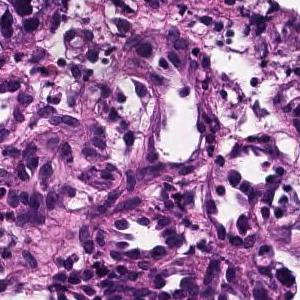
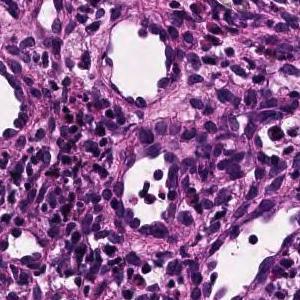
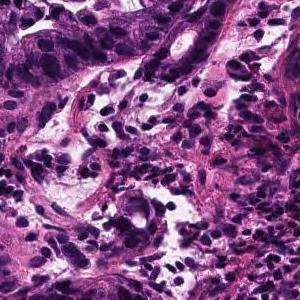
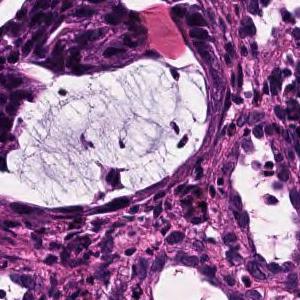
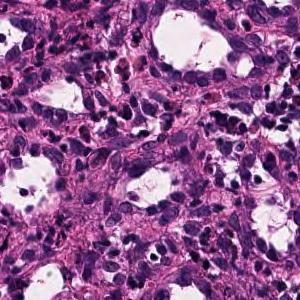
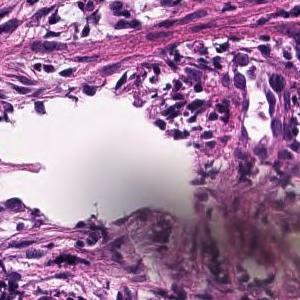
Hematoxylin and eosin stain · ×20 · 6 tiles cut from one stomach biopsy slide.
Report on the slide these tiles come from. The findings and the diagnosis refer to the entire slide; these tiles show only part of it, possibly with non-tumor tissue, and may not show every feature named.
On the superficial epithelium, tumor tissue consisting of large, irregular glandular ducts partially fused and infiltrated is observed. Well to moderately differentiated tubular adenocarcinoma (well differentiated tubular adenocarcinoma, moderately differentiated tubular adenocarcinoma)
Histological subtype: Well to moderately differentiated tubular adenocarcinoma.
